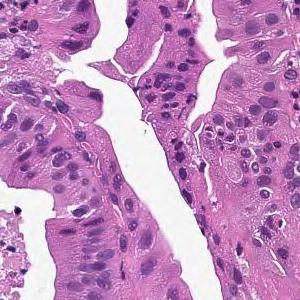
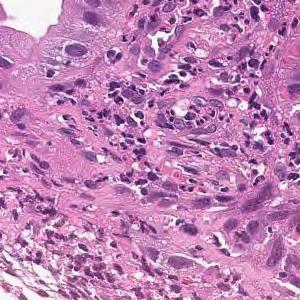
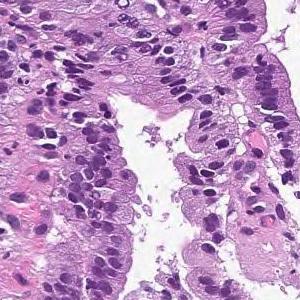
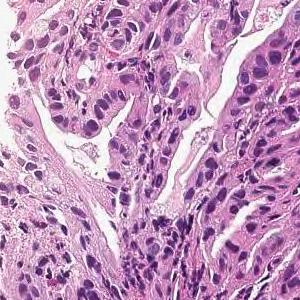
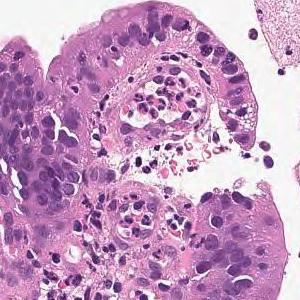
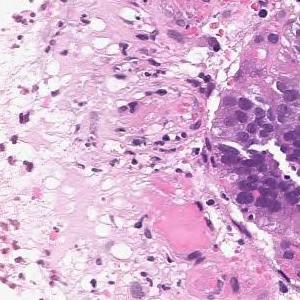
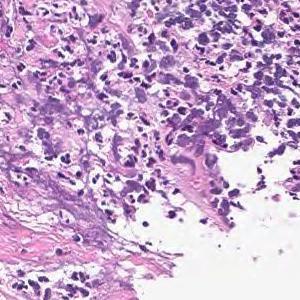
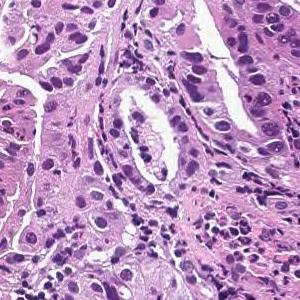
Scanned at ×20 · hematoxylin and eosin stain · 8 tiles cut from one stomach biopsy slide · 300 × 300 pixels each.
Diagnostic report for the slide these tiles come from. The report and the diagnosis cover the entire slide, so not every feature they name need be visible here, and some tissue shown may not be tumor.
From the superficial epithelium to the muscularis mucosae, tumor tissue consisting of medium-sized and irregular glandular ducts infiltrating is observed. Well differentiated tubular adenocarcinoma
